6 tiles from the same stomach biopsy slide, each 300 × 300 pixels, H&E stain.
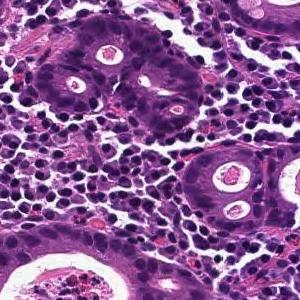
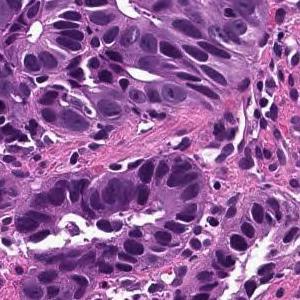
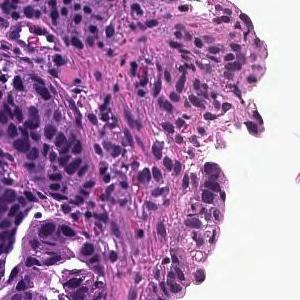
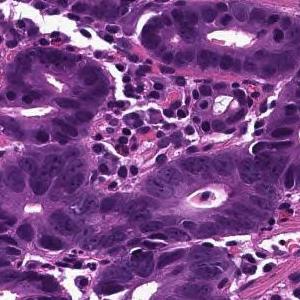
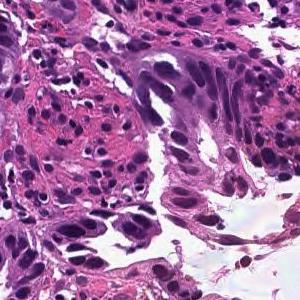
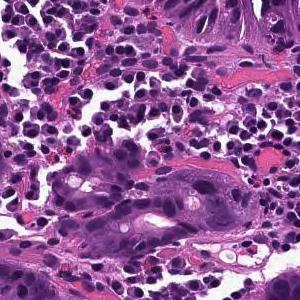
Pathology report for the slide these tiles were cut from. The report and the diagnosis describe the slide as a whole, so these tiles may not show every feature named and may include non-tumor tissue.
From the superficial epithelium to the muscularis mucosae, tumor tissue consisting of medium-sized and irregular glandular ducts infiltrating is observed. Well differentiated tubular adenocarcinoma
